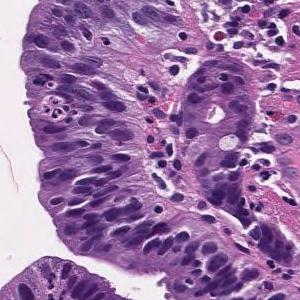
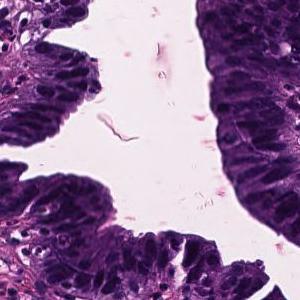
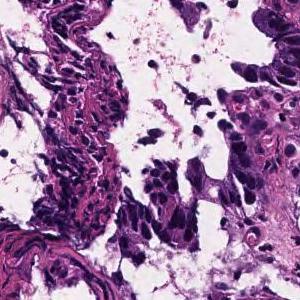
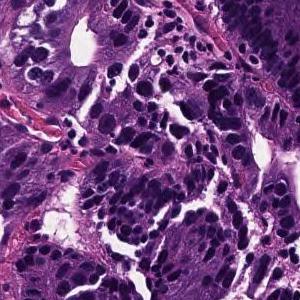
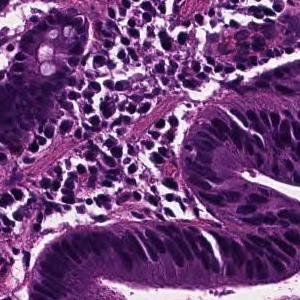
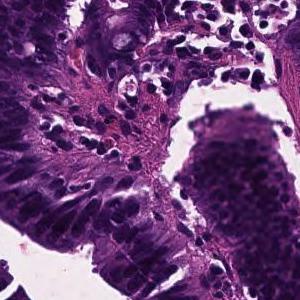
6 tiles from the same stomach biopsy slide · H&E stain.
Pathology report for the biopsy slide these tiles were cut from. The report and the diagnosis describe the slide as a whole, so these tiles may not show every feature named and may include non-tumor tissue.
Tumor cells are large, highly columnar, large club-shaped nuclei, and are associated with chromatin aggregation. Papillary adenocarcinoma.
